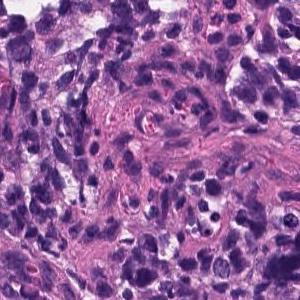
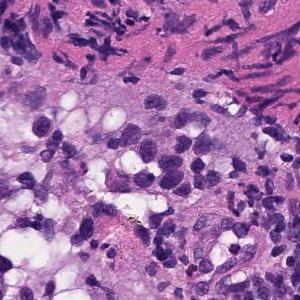
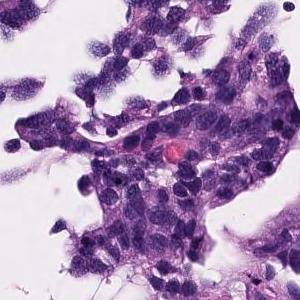
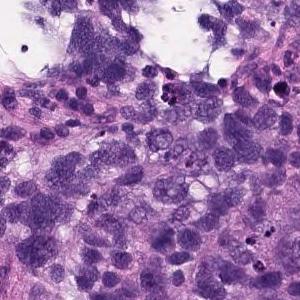
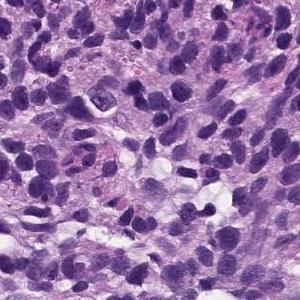
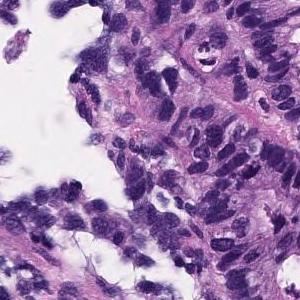
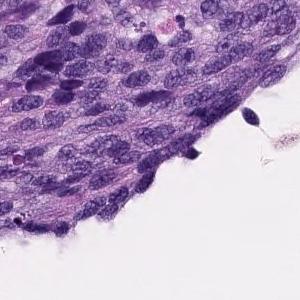
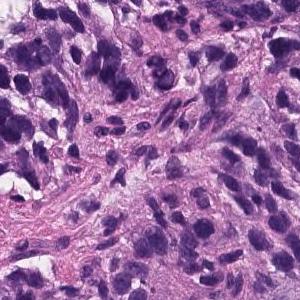
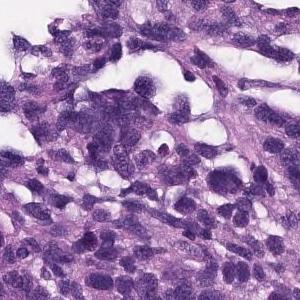
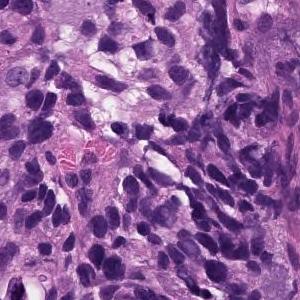
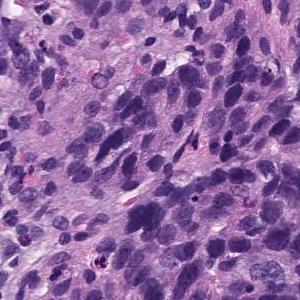
11 tiles cut from one stomach biopsy slide · 300 × 300 pixels each · ×20 · H&E stain.
Pathology report for the biopsy slide these tiles were cut from. The report describes the whole slide, diagnosis included: not every finding it names need appear in these tiles, which may also show non-tumor tissue.
Atypical l cells with atypical nuclei under the mucosa growing in isolation and scattered. Poorly differentiated adenocarcinoma (poorly differentiated adenocarcinoma, non-solid type)
Subtype: Poorly differentiated adenocarcinoma, non-solid type.
The non-solid type named here is a Japanese Classification of Gastric Carcinoma category.
